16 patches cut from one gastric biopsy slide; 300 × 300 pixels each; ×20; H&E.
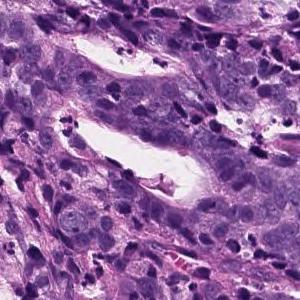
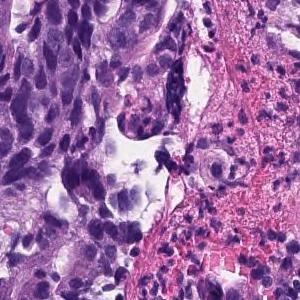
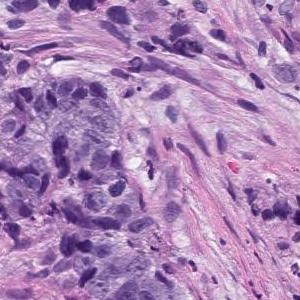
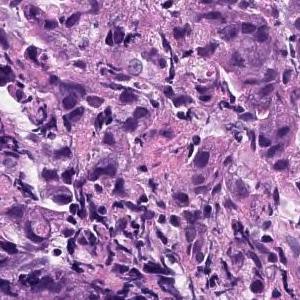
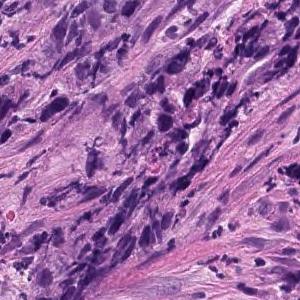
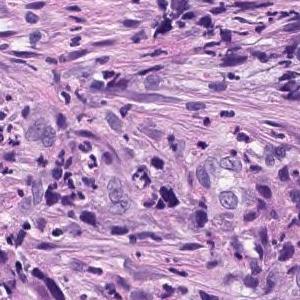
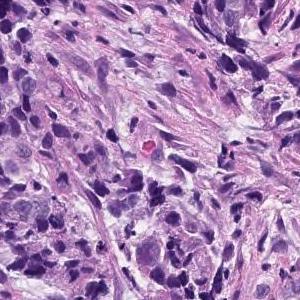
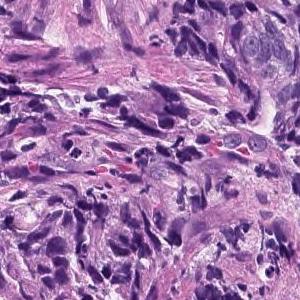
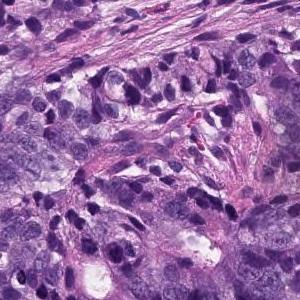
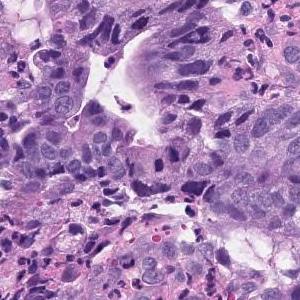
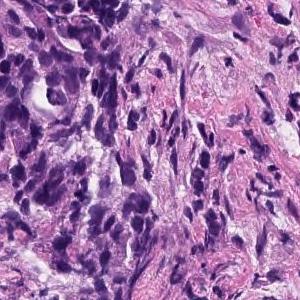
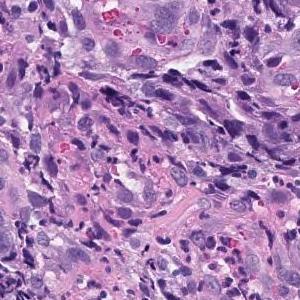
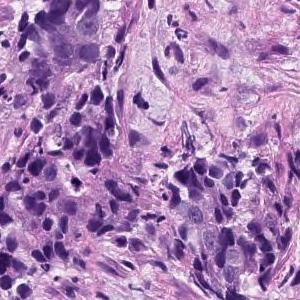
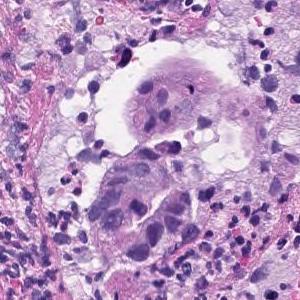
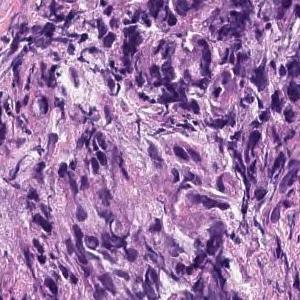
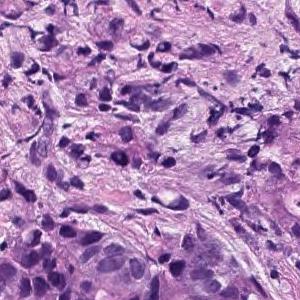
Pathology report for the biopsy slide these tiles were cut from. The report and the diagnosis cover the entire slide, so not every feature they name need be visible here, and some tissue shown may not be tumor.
Medium to small, irregular glandular ducts are formed in the superficial epithelium, and in some cases, the glandular ducts are fused to show solid alveolar lesions and infiltrating tumor tissue is observed. Moderately to poorly differentiated adenocarcinoma.
